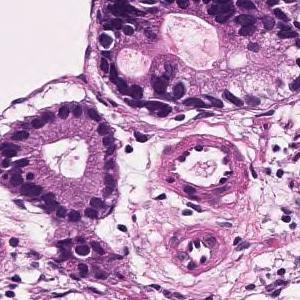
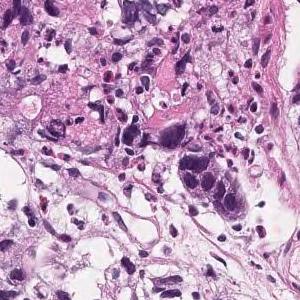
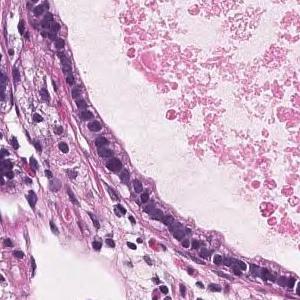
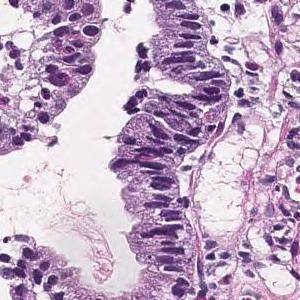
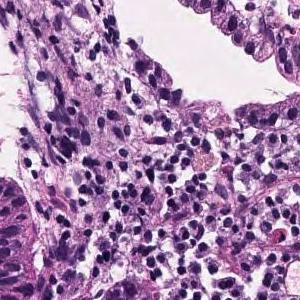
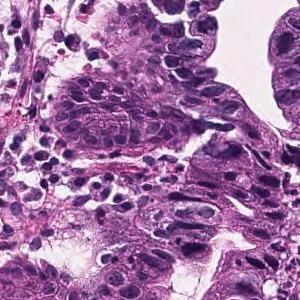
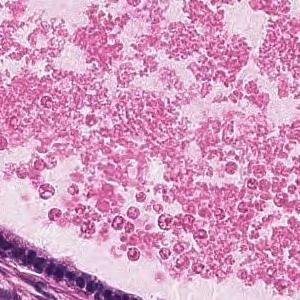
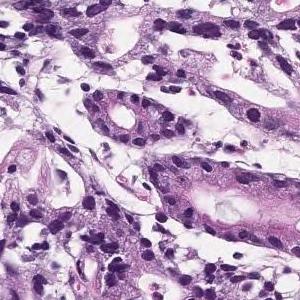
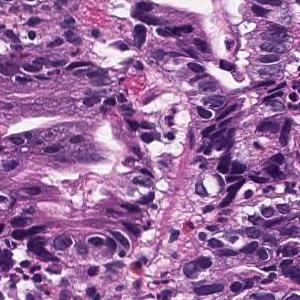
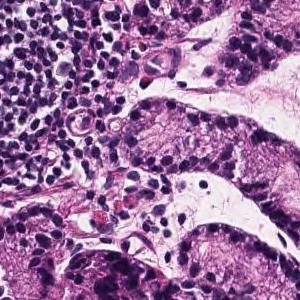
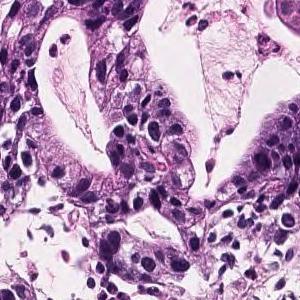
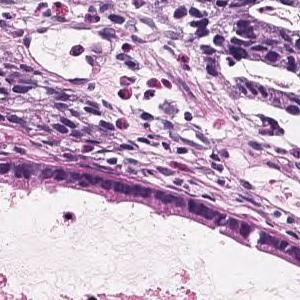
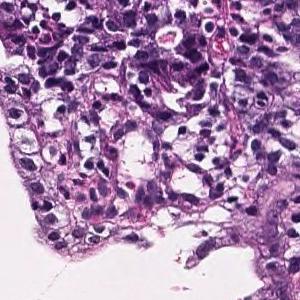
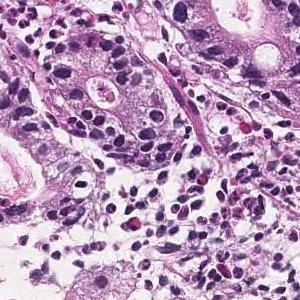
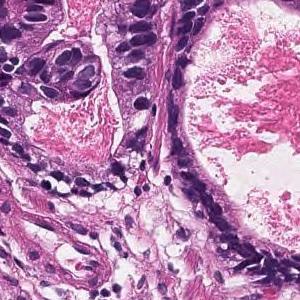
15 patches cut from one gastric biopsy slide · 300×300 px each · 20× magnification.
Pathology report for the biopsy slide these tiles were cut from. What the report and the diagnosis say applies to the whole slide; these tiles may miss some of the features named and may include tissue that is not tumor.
Tumor tissue consisting of medium-sized and irregular ducts is observed infiltrating in the superficial epithelium. Tumor cells are highly columnar, with nuclei aligned basolaterally and polarized. Well differentiated tubular adenocarcinoma.
